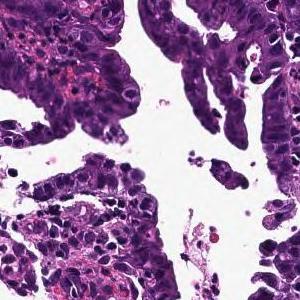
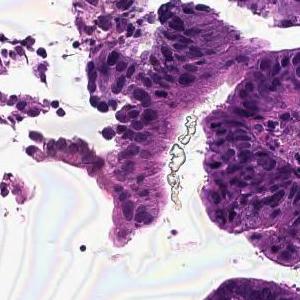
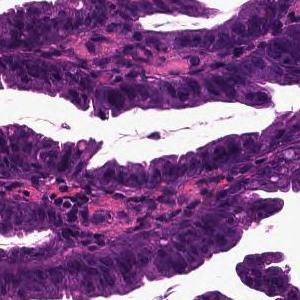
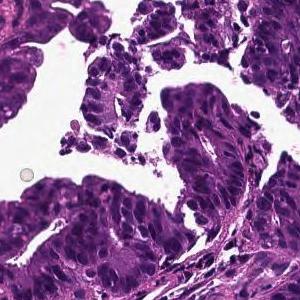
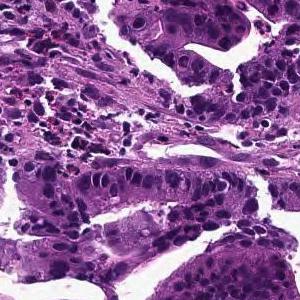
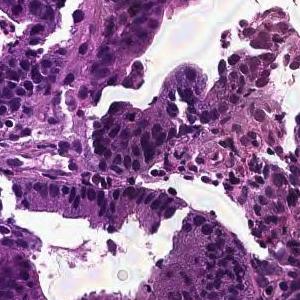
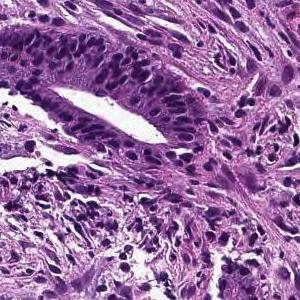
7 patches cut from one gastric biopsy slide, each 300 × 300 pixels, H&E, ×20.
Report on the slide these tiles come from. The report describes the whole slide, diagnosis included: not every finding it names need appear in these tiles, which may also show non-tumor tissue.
Tumor cells are large, highly columnar, large club-shaped nuclei, and are associated with chromatin aggregation. Papillary adenocarcinoma.
